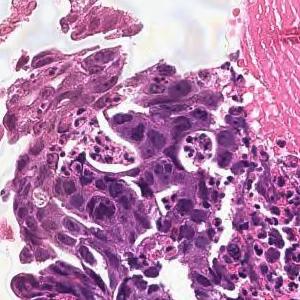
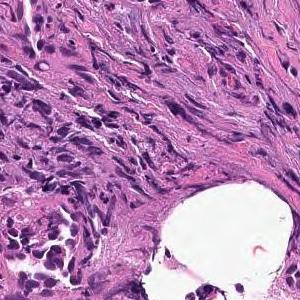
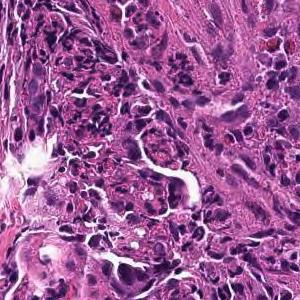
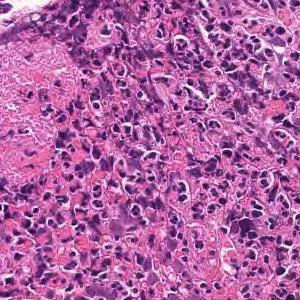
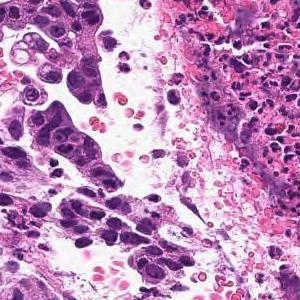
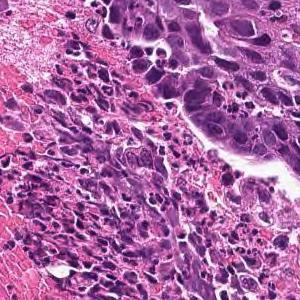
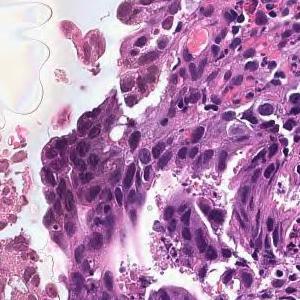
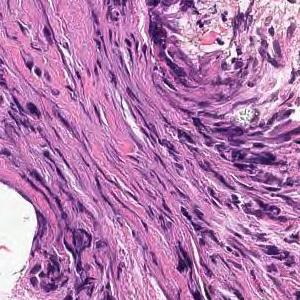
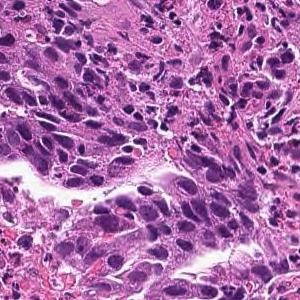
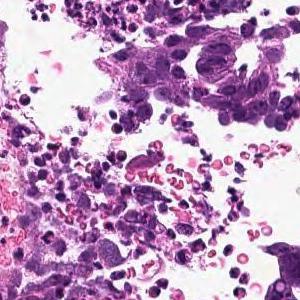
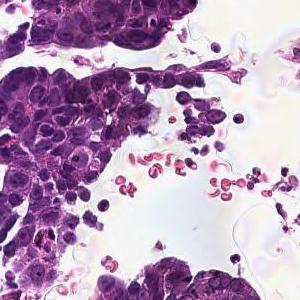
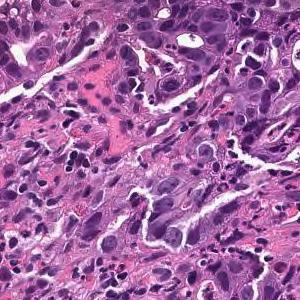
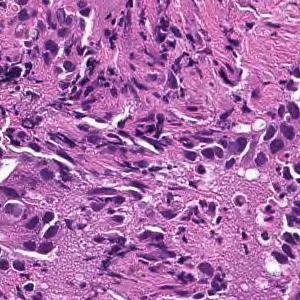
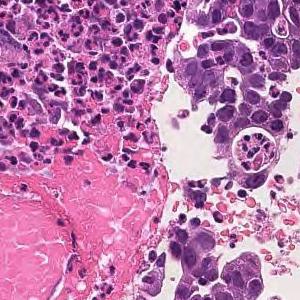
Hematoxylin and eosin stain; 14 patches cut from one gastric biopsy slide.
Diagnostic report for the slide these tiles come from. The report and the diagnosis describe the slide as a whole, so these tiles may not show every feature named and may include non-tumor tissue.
In the superficial epithelium, tumor tissue that invades by forming medium-sized to small, irregular ducts is observed. moderately differentiated tubular adenocarcinoma.
